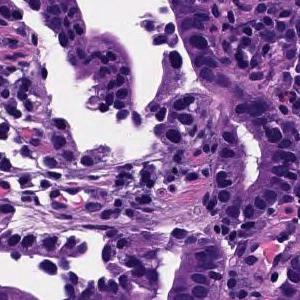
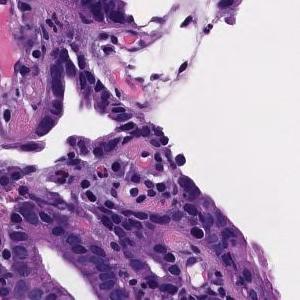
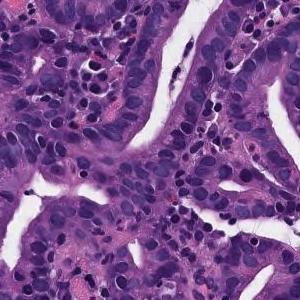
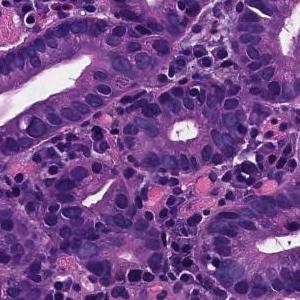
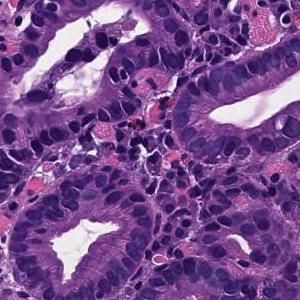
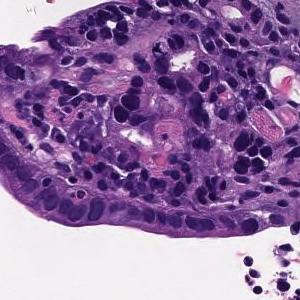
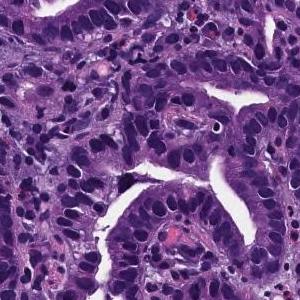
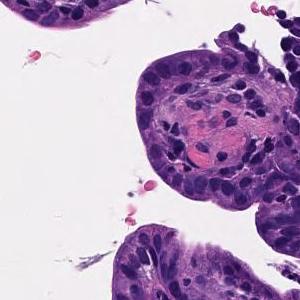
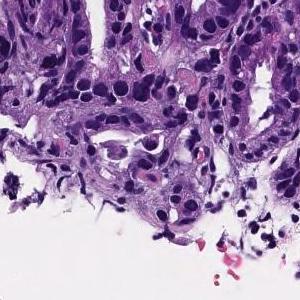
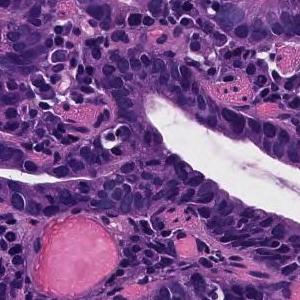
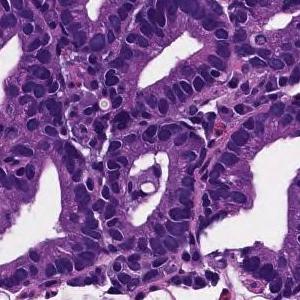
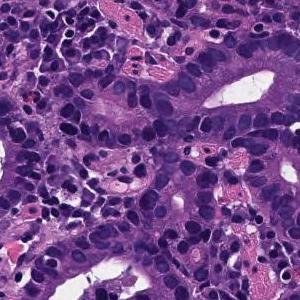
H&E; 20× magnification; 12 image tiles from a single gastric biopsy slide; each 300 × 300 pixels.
Pathology report for the slide these tiles were cut from. The report describes the whole slide, diagnosis included: not every finding it names need appear in these tiles, which may also show non-tumor tissue.
From the superficial epithelium to the muscularis mucosae, tumor tissue consisting of medium-sized and irregular glandular ducts infiltrating is observed. Well differentiated tubular adenocarcinoma
